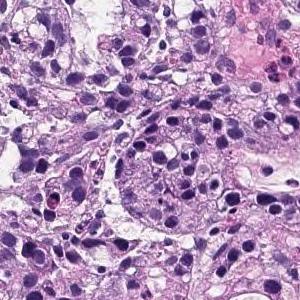
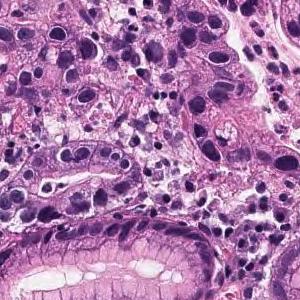
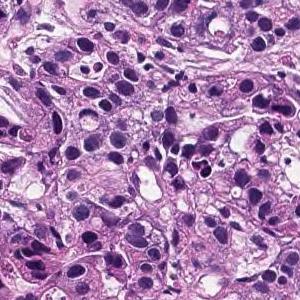
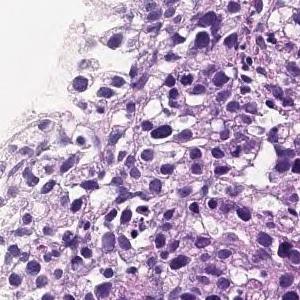
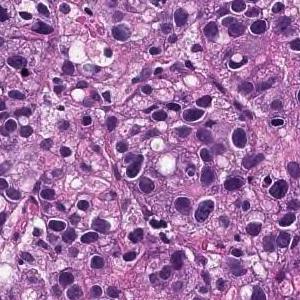
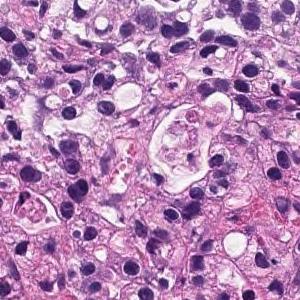
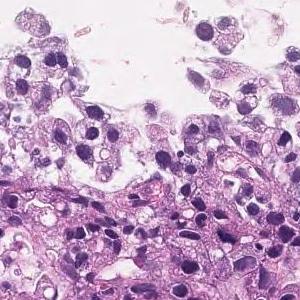
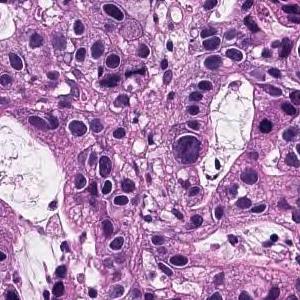
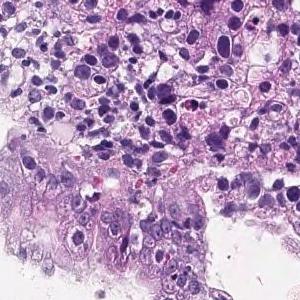
9 tiles from the same stomach biopsy slide; 300×300 px each; H&E; scanned at ×20.
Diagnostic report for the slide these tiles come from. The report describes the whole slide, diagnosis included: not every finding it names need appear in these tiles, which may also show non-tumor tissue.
In the superficial epithelium, tumor tissue that invades by forming medium-sized to small, irregular ducts is observed. moderately differentiated tubular adenocarcinoma.
